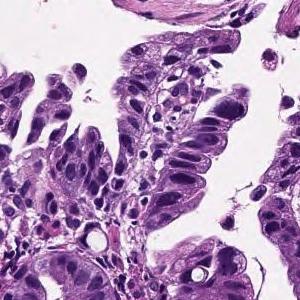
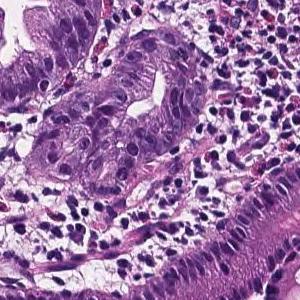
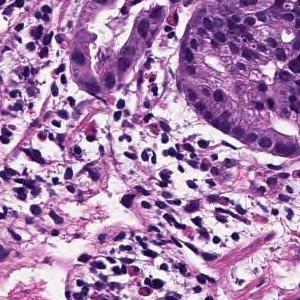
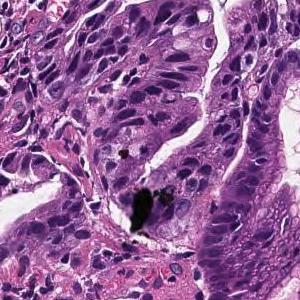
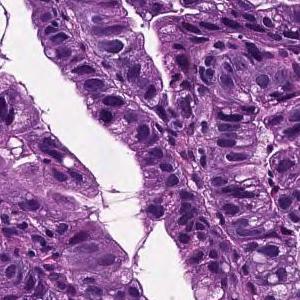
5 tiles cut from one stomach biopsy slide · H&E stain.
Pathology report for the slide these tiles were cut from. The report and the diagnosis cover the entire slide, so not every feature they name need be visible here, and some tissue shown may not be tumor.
Tumor cells are large, highly columnar, large club-shaped nuclei, and are associated with chromatin aggregation. Papillary adenocarcinoma.
